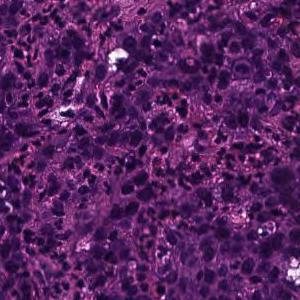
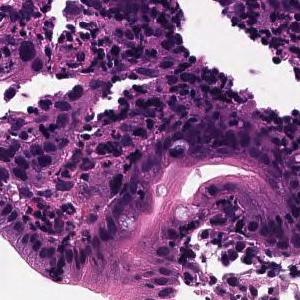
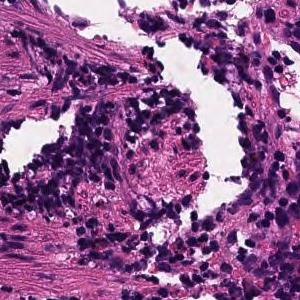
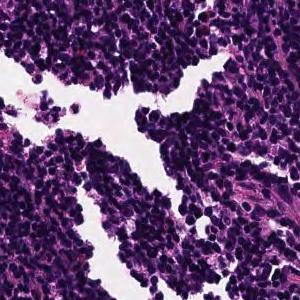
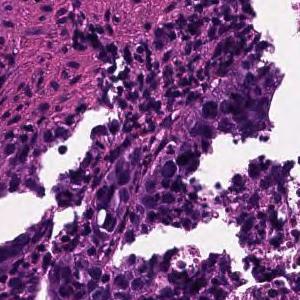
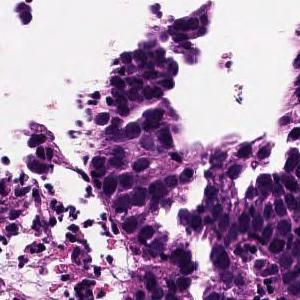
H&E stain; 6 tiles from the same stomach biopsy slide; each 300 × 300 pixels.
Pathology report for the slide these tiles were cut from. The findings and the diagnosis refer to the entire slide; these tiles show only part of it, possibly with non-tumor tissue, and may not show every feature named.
Tumor tissue consisting of cord-like or small, irregular glandular ducts fused and infiltrated is observed in the superficial epithelium. Poorly differentiated adenocarcinoma, non-solid type
"Non-solid type" is a category of the Japanese Classification of Gastric Carcinoma.
